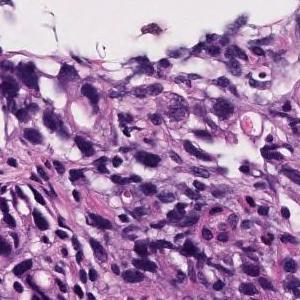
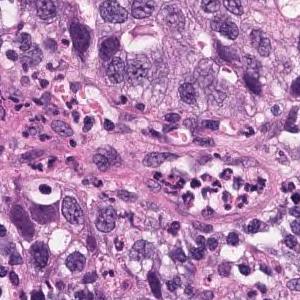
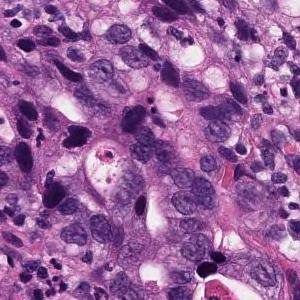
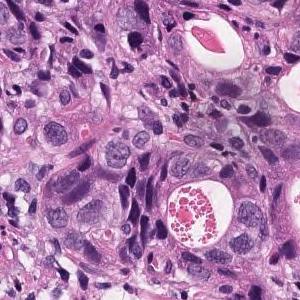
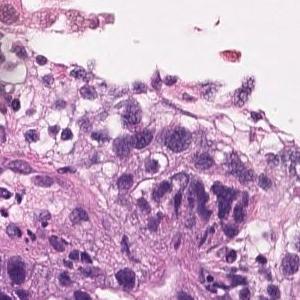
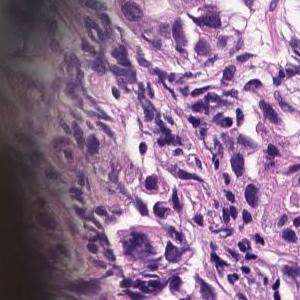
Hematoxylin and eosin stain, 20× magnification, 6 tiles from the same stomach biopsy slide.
Report on the slide these tiles come from. The report and the diagnosis describe the slide as a whole, so these tiles may not show every feature named and may include non-tumor tissue.
In the superficial epithelium, tumor tissue that invades by forming medium-sized to small, irregular ducts is observed. Moderately differentiated adenocarcinoma.
Histologic type: Moderately differentiated tubular adenocarcinoma.
